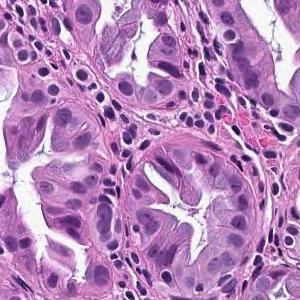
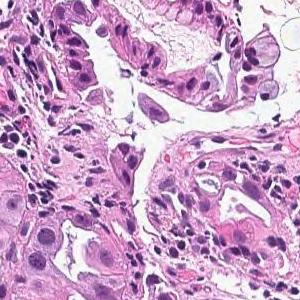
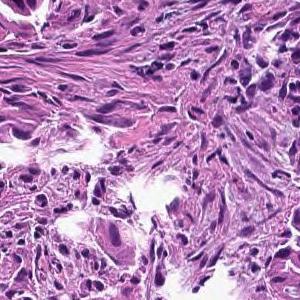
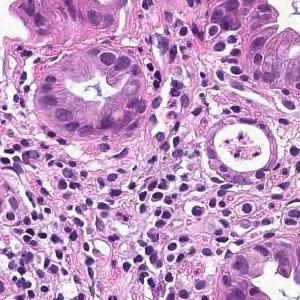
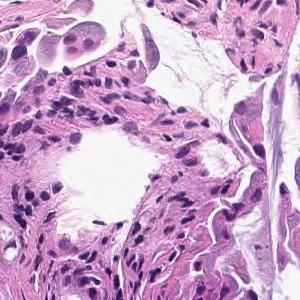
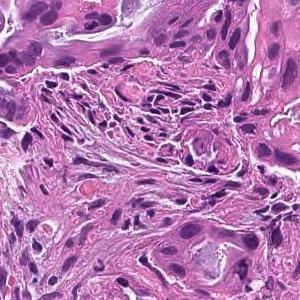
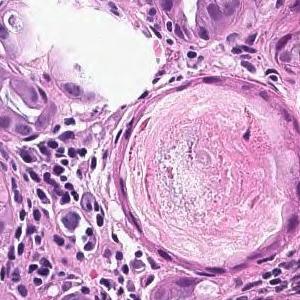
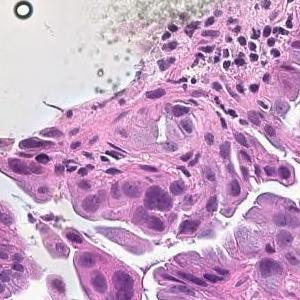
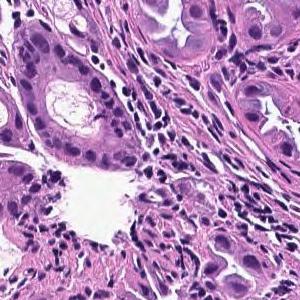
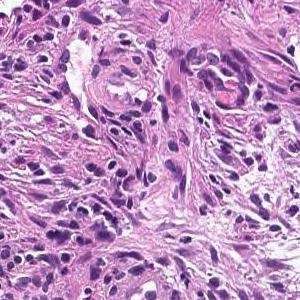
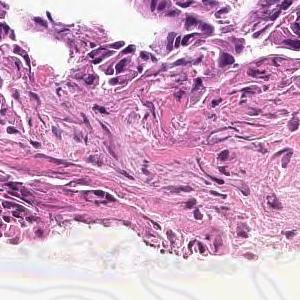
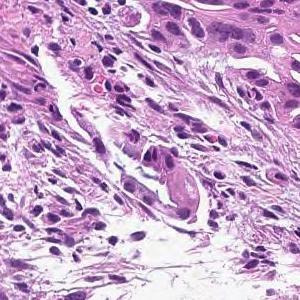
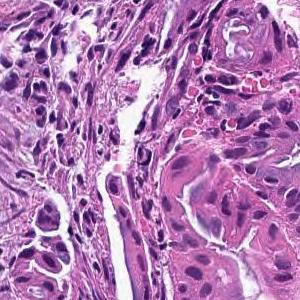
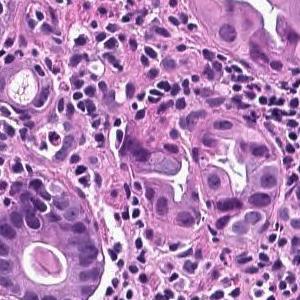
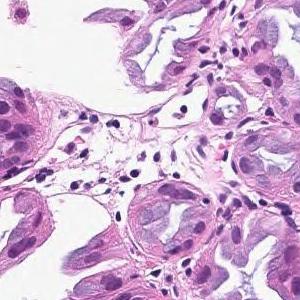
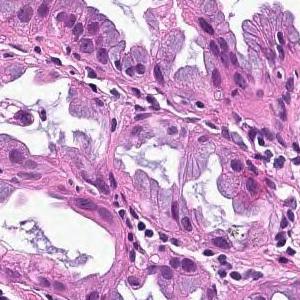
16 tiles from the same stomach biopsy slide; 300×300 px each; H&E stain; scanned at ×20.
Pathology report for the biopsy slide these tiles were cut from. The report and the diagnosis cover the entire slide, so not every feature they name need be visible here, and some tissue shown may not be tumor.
From the superficial epithelium to the muscularis mucosae, tumor tissue consisting of medium-sized and irregular glandular ducts infiltrating is observed. Well differentiated tubular adenocarcinoma
